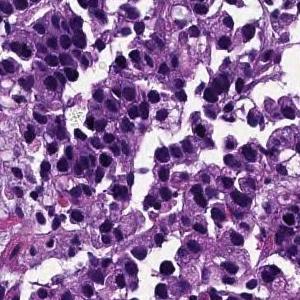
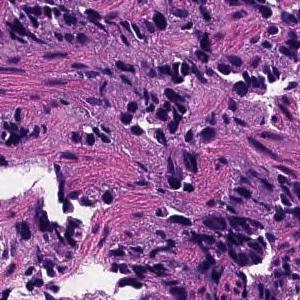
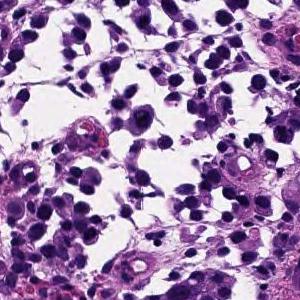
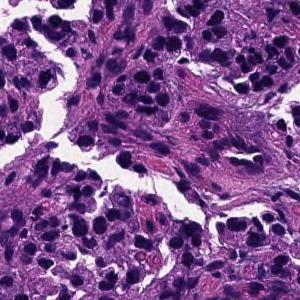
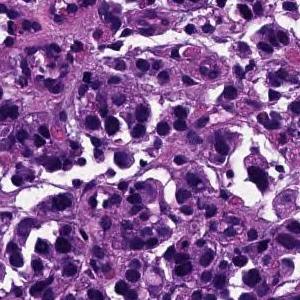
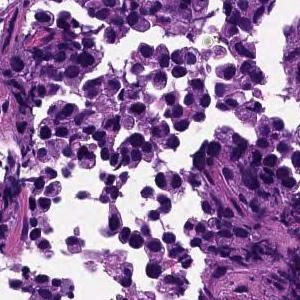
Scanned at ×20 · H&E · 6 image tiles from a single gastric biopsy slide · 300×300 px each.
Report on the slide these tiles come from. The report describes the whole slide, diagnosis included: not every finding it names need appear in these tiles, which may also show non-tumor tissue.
The superficial epithelium shows a large alveolar shape and infiltrates tumor tissue. Poorly differentiated adenocarcinoma, solid-type
Subtype: Poorly differentiated adenocarcinoma, solid type (Japanese Classification of Gastric Carcinoma). The WHO 2019 equivalent is tubular adenocarcinoma, poorly differentiated.
